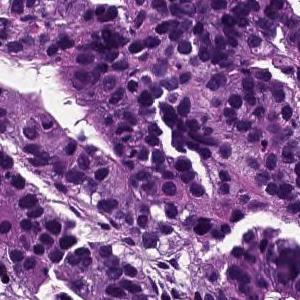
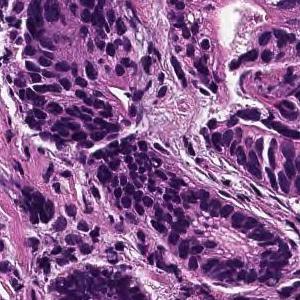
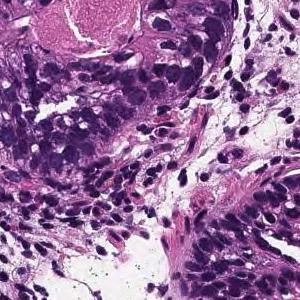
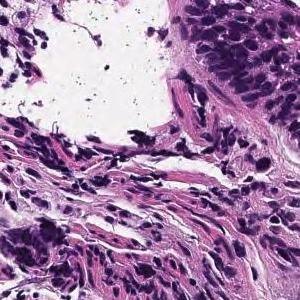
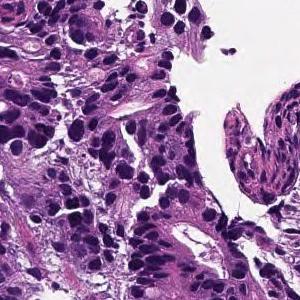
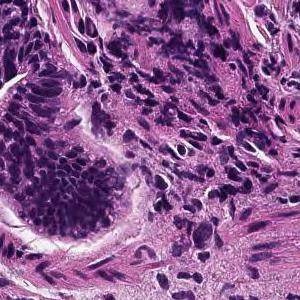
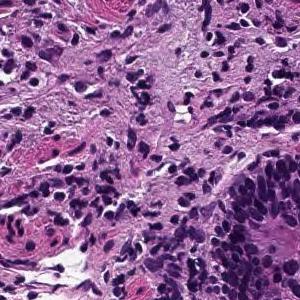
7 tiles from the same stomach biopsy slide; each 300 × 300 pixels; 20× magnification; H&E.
Report on the slide these tiles come from. The report and the diagnosis cover the entire slide, so not every feature they name need be visible here, and some tissue shown may not be tumor.
On the superficial epithelium, tumor tissue is found in which medium-sized irregular gland ducts fuse with each other and infiltrate. moderately differentiated tubular adenocarcinoma
